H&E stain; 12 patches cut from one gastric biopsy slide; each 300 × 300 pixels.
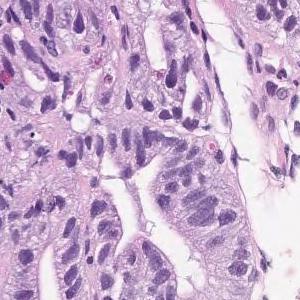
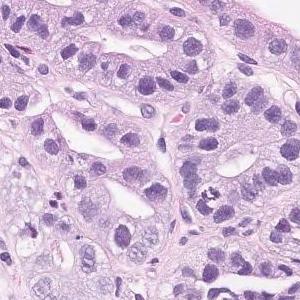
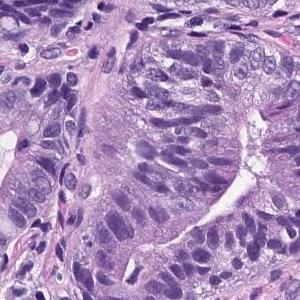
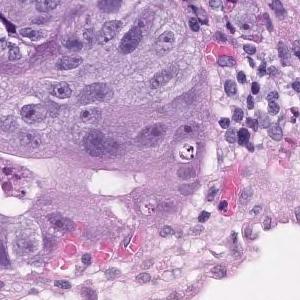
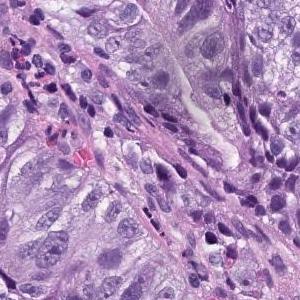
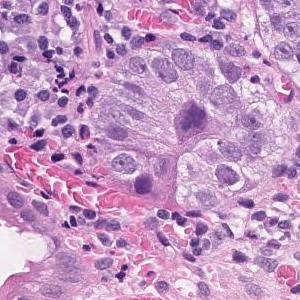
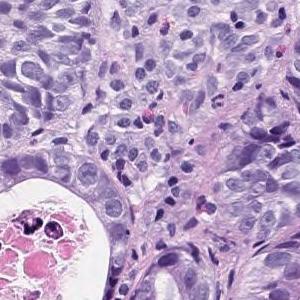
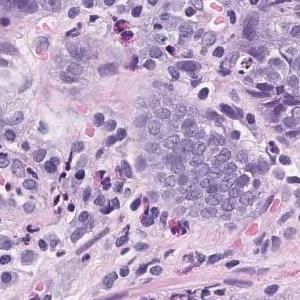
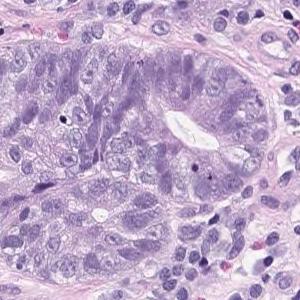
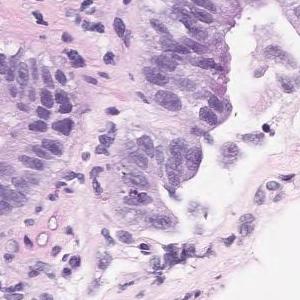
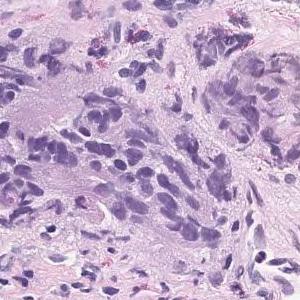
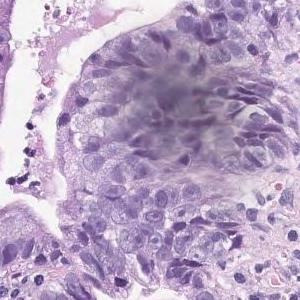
Pathology report for the slide these tiles were cut from. The report and the diagnosis describe the slide as a whole, so these tiles may not show every feature named and may include non-tumor tissue.
On the superficial epithelium, tumor tissue consisting of medium to small irregular tubules partially fused and proliferated is observed. moderately differentiated tubular adenocarcinoma
